12 patches cut from one gastric biopsy slide; H&E stain.
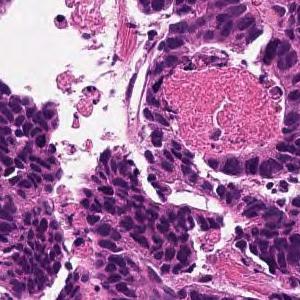
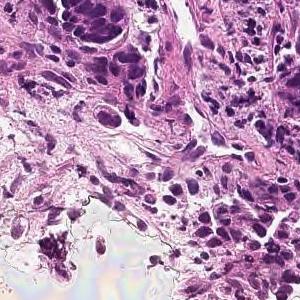
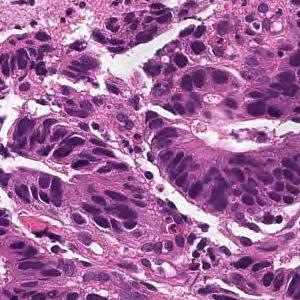
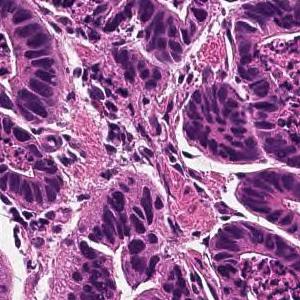
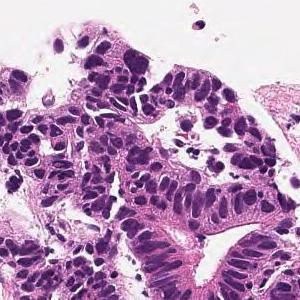
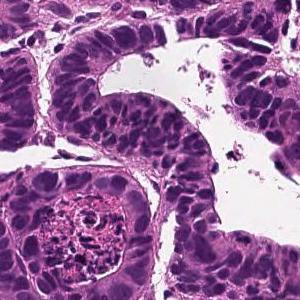
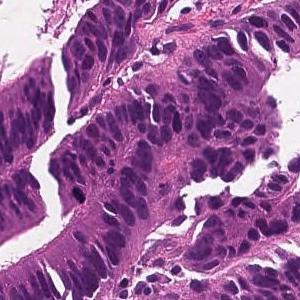
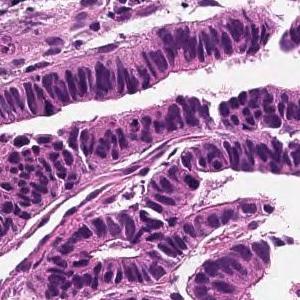
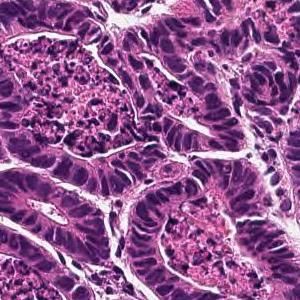
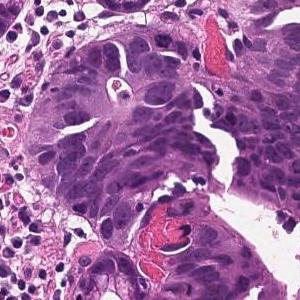
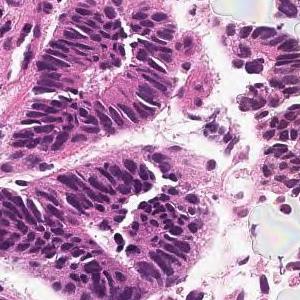
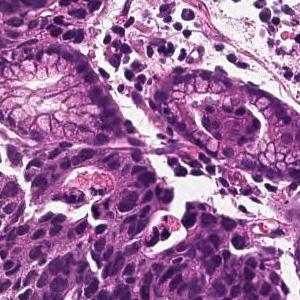
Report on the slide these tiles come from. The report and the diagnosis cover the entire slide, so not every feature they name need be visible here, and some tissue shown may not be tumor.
From the superficial epithelium to the muscularis mucosae, tumor tissue consisting of medium-sized and irregular glandular ducts infiltrating is observed. Well differentiated tubular adenocarcinoma
